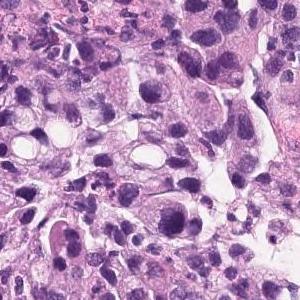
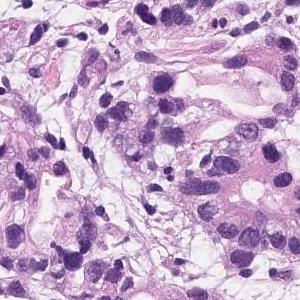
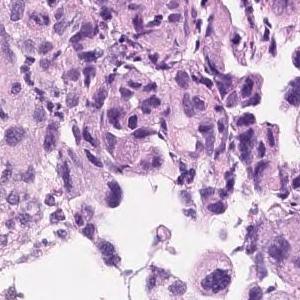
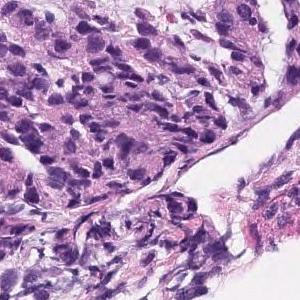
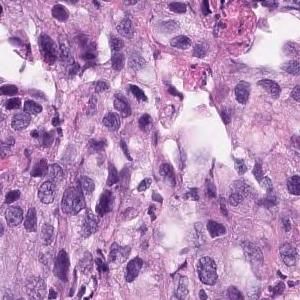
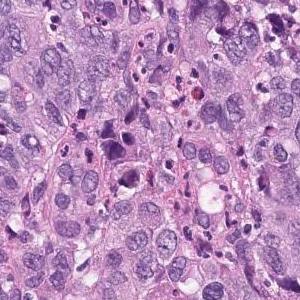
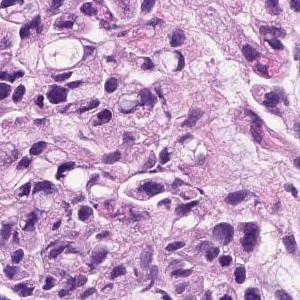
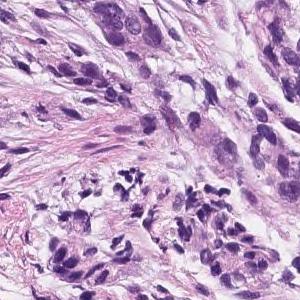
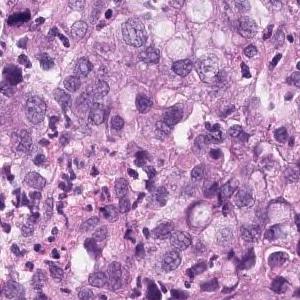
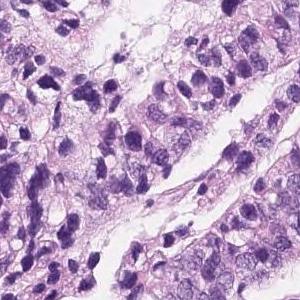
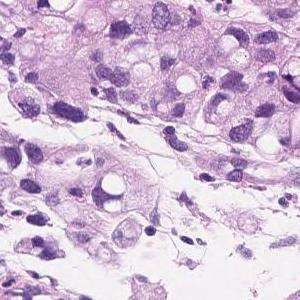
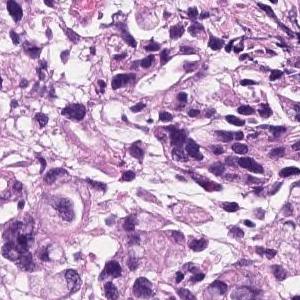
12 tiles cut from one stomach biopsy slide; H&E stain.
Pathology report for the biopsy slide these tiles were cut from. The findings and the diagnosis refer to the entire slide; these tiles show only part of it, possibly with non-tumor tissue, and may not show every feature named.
Group 5, Adenocarcinoma. Poorly differentiated adenocarcinoma, non-solid type
The non-solid type named here is a Japanese Classification of Gastric Carcinoma category.
